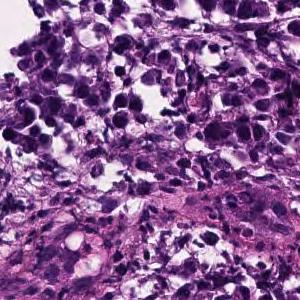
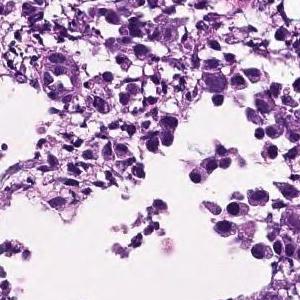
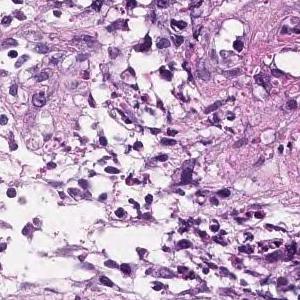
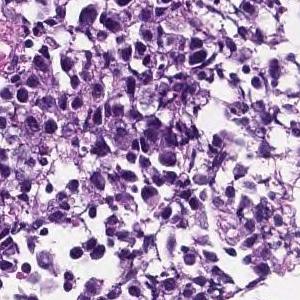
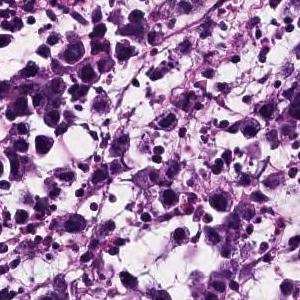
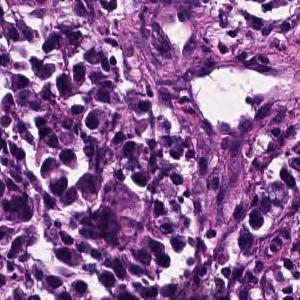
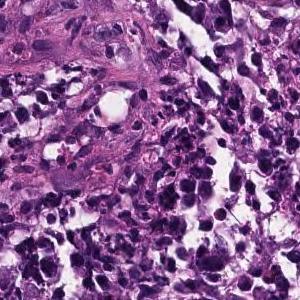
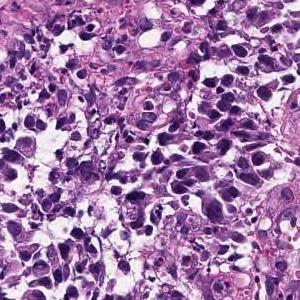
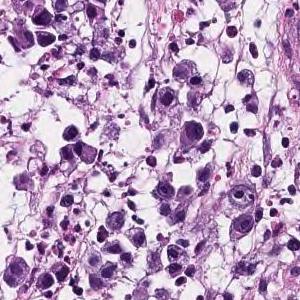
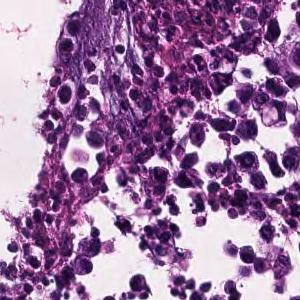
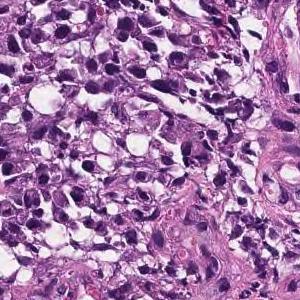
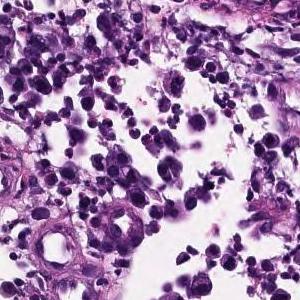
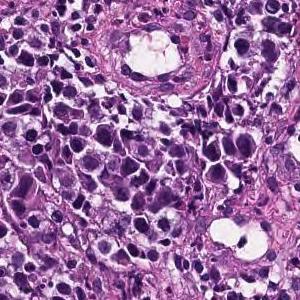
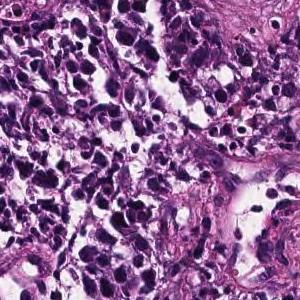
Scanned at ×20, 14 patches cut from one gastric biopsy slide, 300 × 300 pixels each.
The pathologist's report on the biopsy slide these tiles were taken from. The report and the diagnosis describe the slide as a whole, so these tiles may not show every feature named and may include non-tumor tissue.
The superficial epithelium shows a small alveolar shape, and some tumor tissues infiltrate with a cord-like structure. Poorly differentiated adenocarcinoma, solid-type
Classified as poorly differentiated adenocarcinoma, solid type, a category of the Japanese Classification of Gastric Carcinoma; in the WHO 2019 classification it is tubular adenocarcinoma, poorly differentiated.
